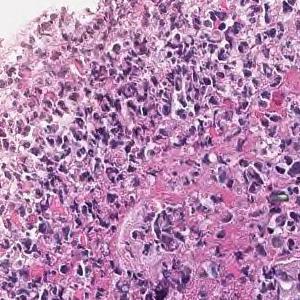
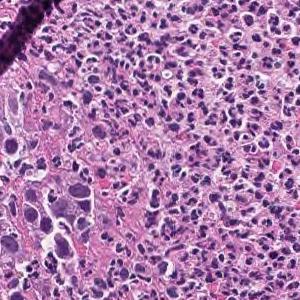
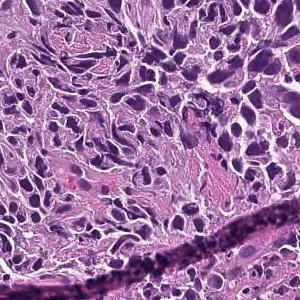
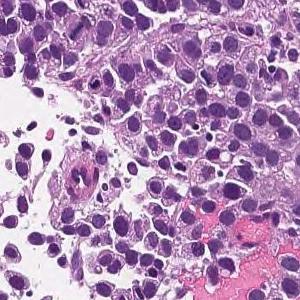
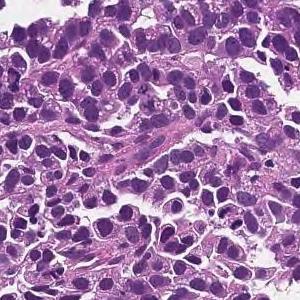
×20, 5 image tiles from a single gastric biopsy slide, 300 × 300 pixels each.
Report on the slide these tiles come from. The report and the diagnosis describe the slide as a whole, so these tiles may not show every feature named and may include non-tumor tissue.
The superficial epithelium shows a large sheet-like shape, and some tumor tissue infiltrates with small irregular ducts. Poorly differentiated adenocarcinoma, solid-type
Classified as poorly differentiated adenocarcinoma, solid type, a category of the Japanese Classification of Gastric Carcinoma; in the WHO 2019 classification it is tubular adenocarcinoma, poorly differentiated.
